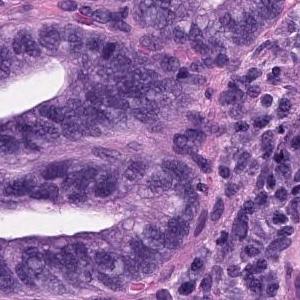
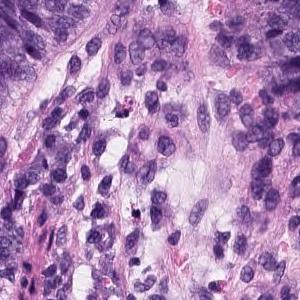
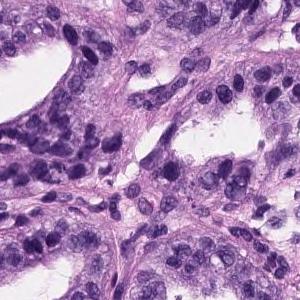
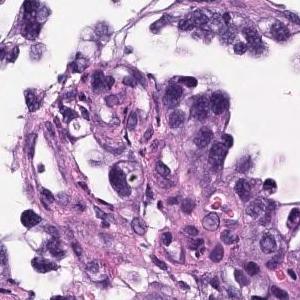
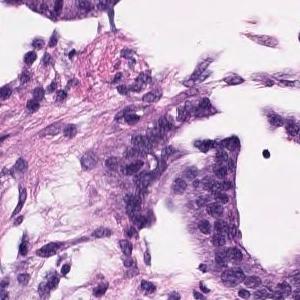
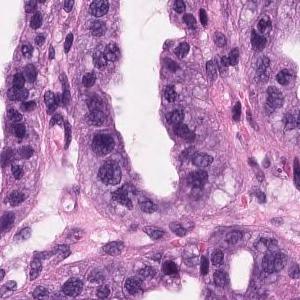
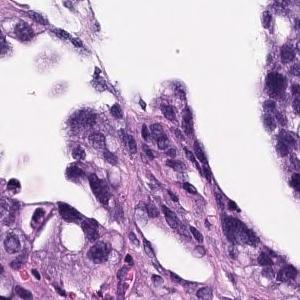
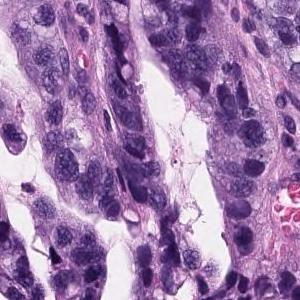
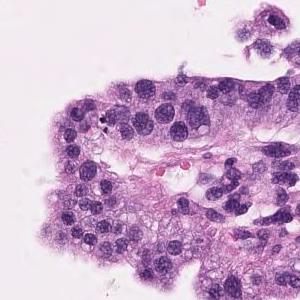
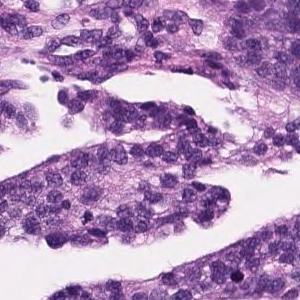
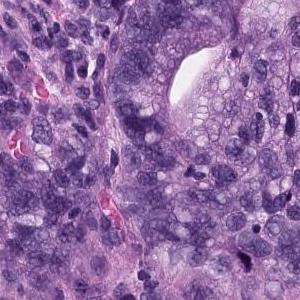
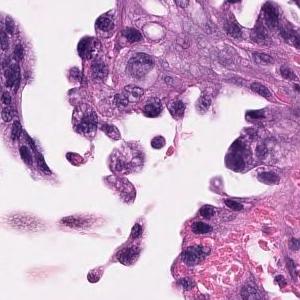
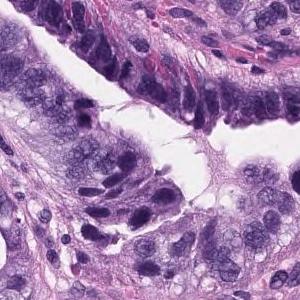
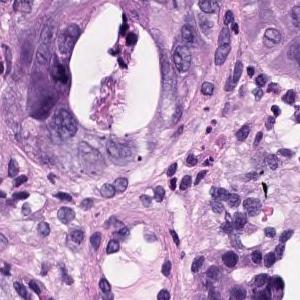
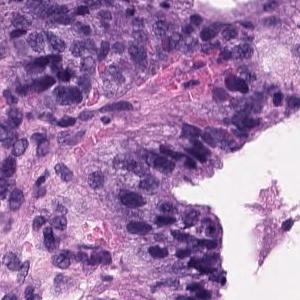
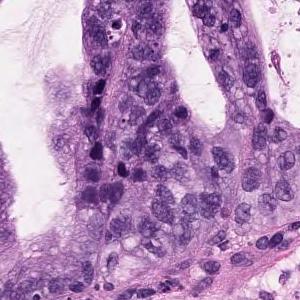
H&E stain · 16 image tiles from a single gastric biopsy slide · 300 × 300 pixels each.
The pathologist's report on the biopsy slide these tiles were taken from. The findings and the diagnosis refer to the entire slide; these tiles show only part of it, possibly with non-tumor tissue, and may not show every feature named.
Tumor cells are large, highly columnar, large club-shaped nuclei, and are associated with chromatin aggregation. Papillary adenocarcinoma.
